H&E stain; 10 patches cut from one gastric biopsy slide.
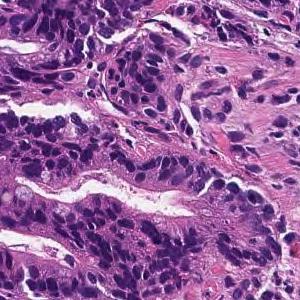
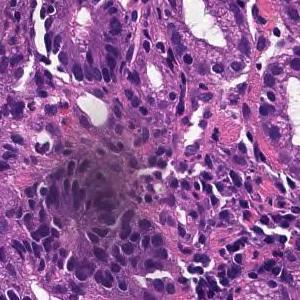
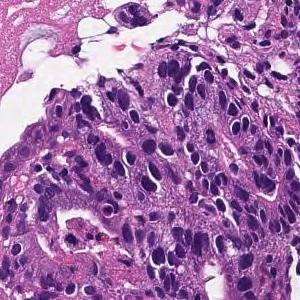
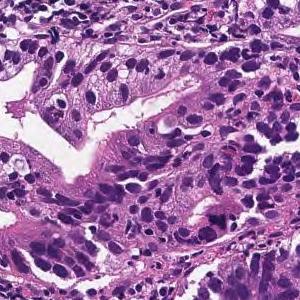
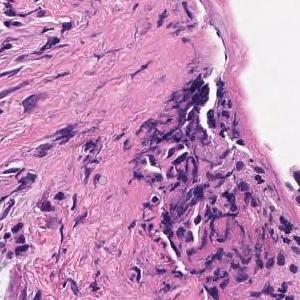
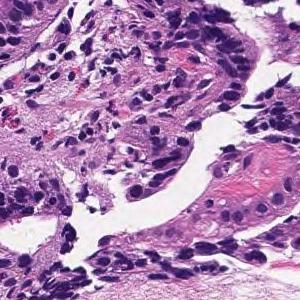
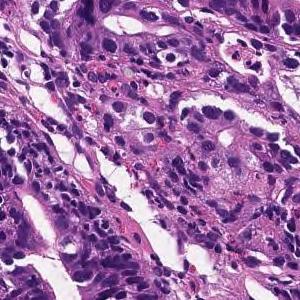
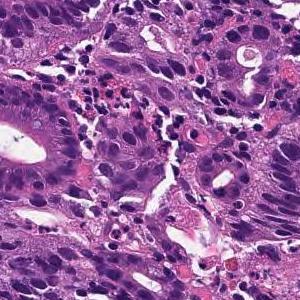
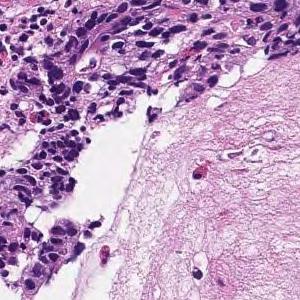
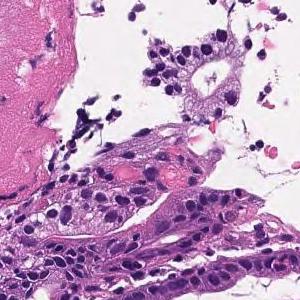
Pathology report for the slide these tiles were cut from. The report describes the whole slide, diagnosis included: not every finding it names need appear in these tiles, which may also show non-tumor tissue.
In the superficial epithelium, tumor tissue that invades by forming medium-sized to small, irregular ducts is observed. moderately differentiated tubular adenocarcinoma.
